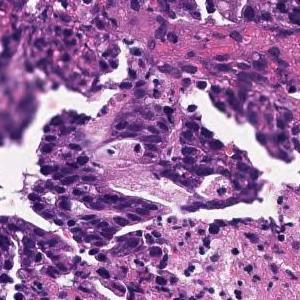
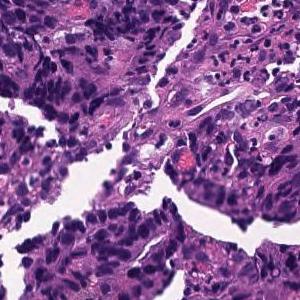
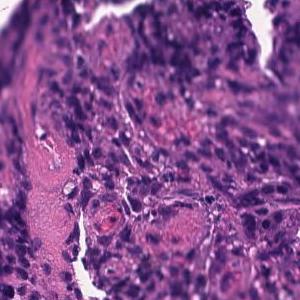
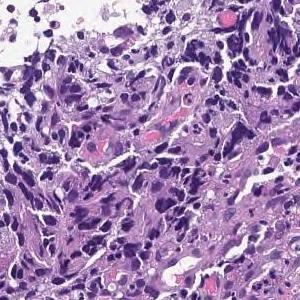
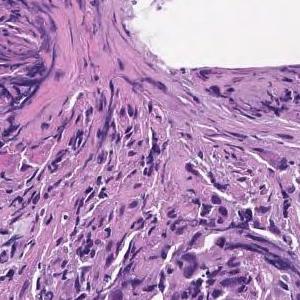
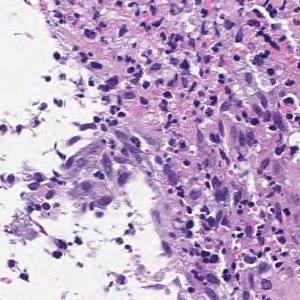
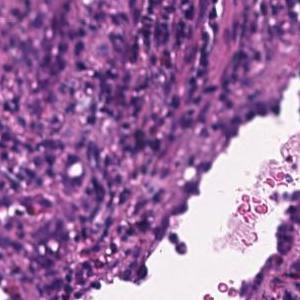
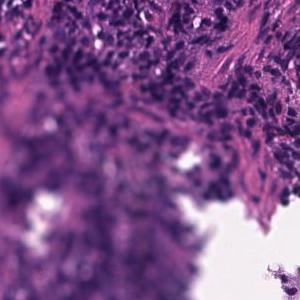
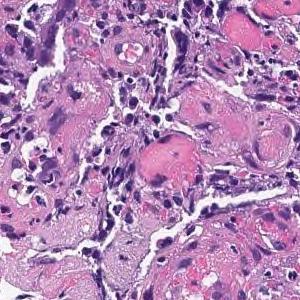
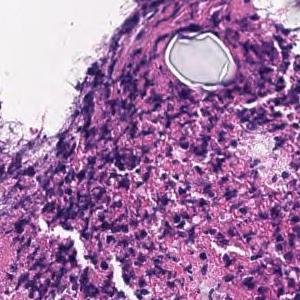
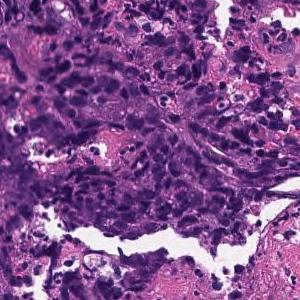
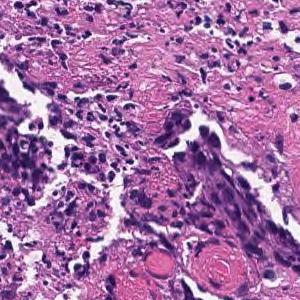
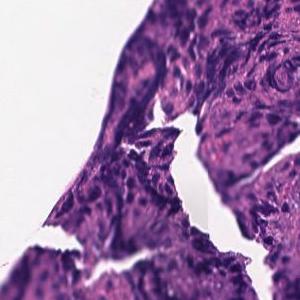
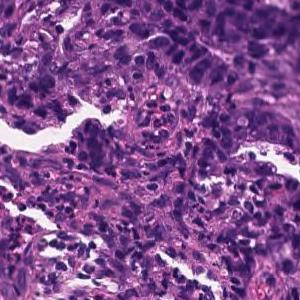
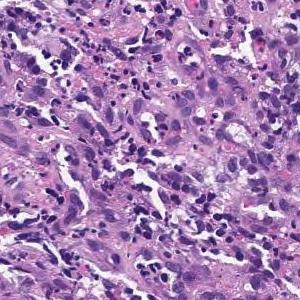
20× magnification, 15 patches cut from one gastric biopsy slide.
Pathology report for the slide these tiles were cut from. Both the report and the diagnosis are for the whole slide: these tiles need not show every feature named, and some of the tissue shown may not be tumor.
On the superficial epithelium, tumor tissue consisting of large irregular glandular ducts partially fused and infiltrated is observed. Well to moderately differentiated tubular adenocarcinoma (well differentiated tubular adenocarcinoma, moderately differentiated tubular adenocarcinoma)
Histologic type: Well to moderately differentiated tubular adenocarcinoma.
